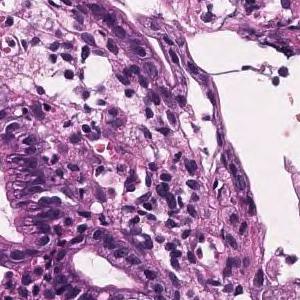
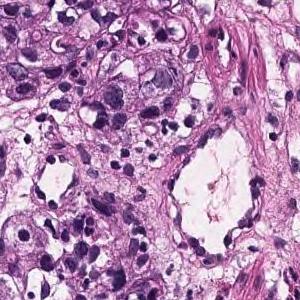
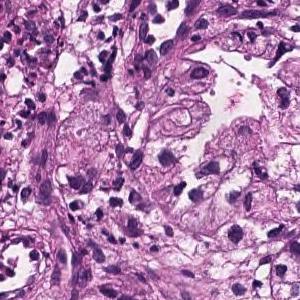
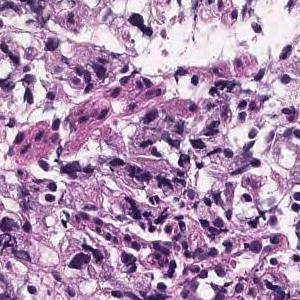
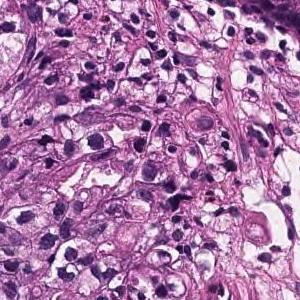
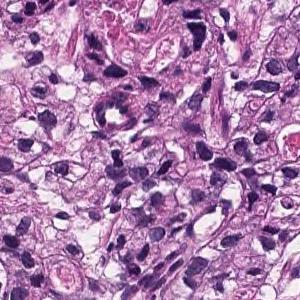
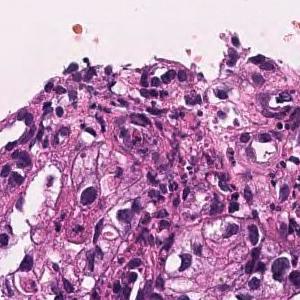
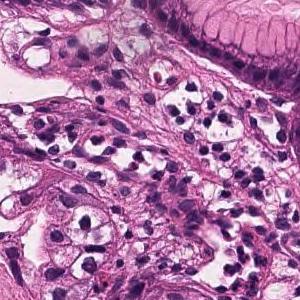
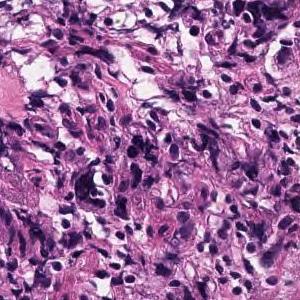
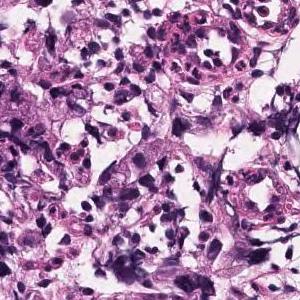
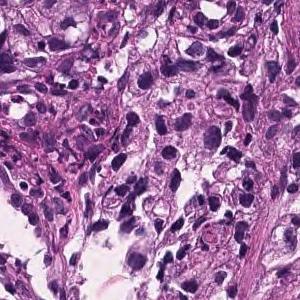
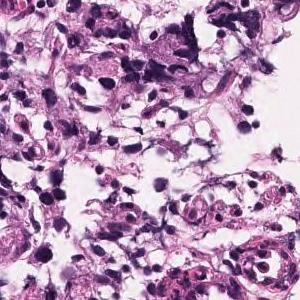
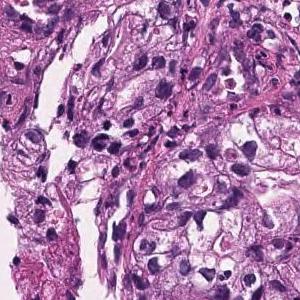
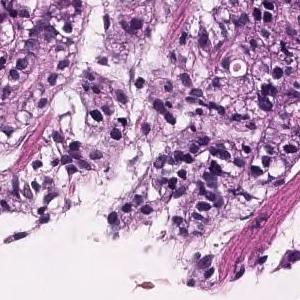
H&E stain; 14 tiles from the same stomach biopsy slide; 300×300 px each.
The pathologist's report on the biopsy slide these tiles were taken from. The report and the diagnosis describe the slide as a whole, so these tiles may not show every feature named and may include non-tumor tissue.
Medium to small, irregular glandular ducts are formed in the superficial epithelium, and in some cases, the glandular ducts are fused to show solid alveolar lesions and infiltrating tumor tissue is observed. Moderately to poorly differentiated adenocarcinoma.
